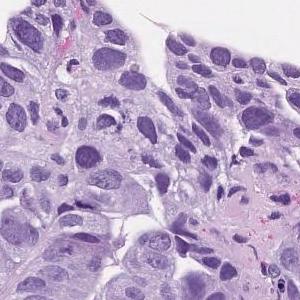
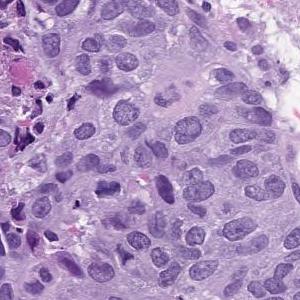
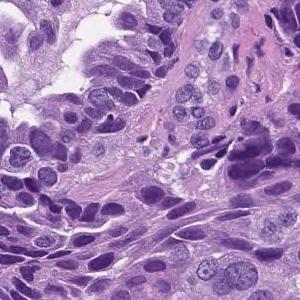
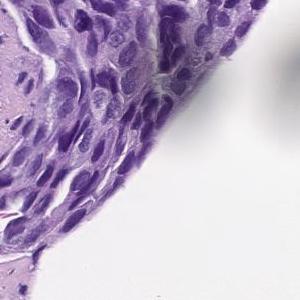
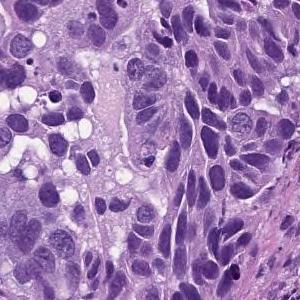
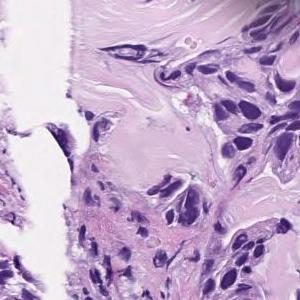
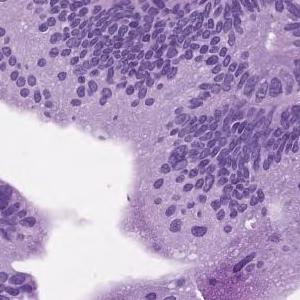
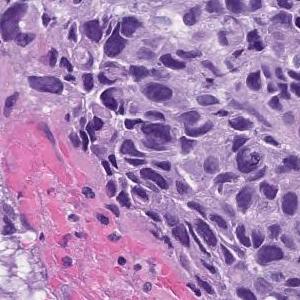
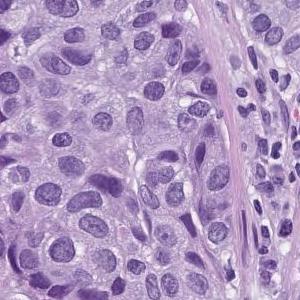
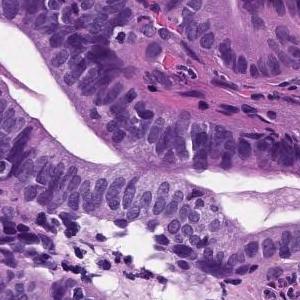
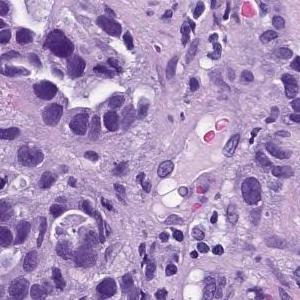
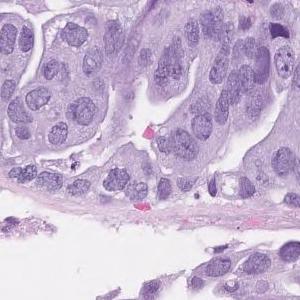
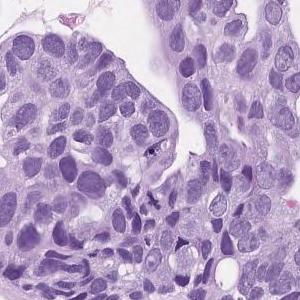
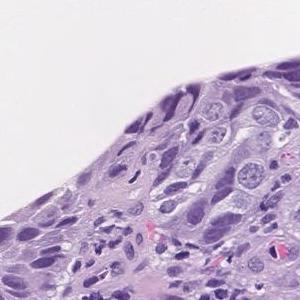
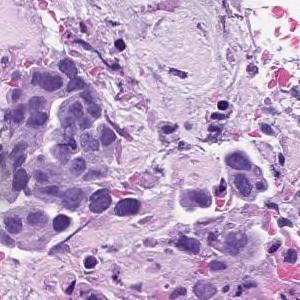
H&E; 15 tiles from the same stomach biopsy slide.
Report on the slide these tiles come from. The report describes the whole slide, diagnosis included: not every finding it names need appear in these tiles, which may also show non-tumor tissue.
In the superficial epithelium, tumor tissue that invades by forming medium-sized to small, irregular ducts is observed. moderately differentiated tubular adenocarcinoma.
